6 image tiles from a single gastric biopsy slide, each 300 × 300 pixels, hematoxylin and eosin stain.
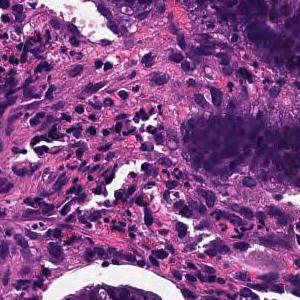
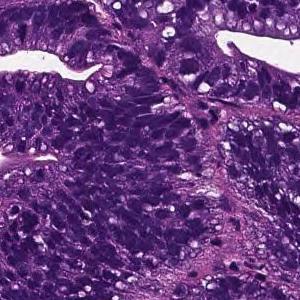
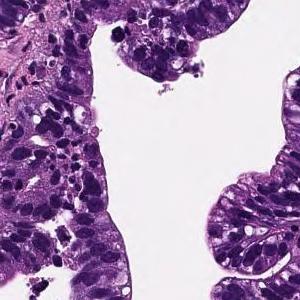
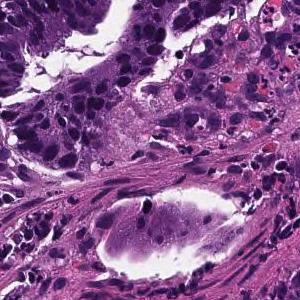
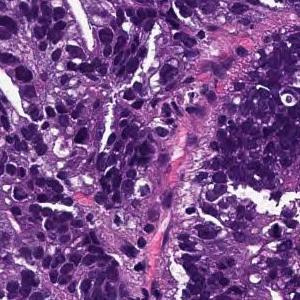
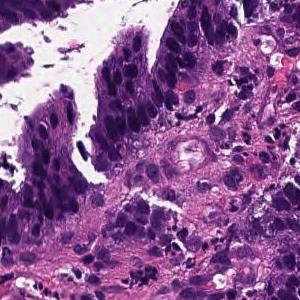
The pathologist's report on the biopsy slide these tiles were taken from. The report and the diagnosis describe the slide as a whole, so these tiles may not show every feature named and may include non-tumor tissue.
Tumor cells are large, highly columnar, large club-shaped nuclei, and are associated with chromatin aggregation. Papillary adenocarcinoma.
